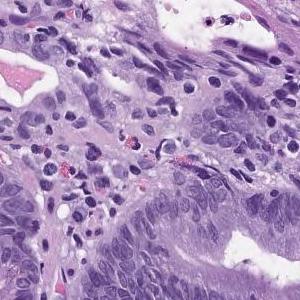
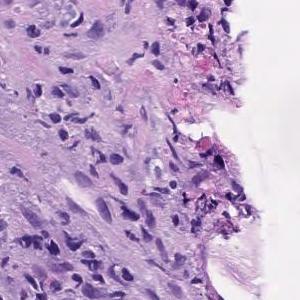
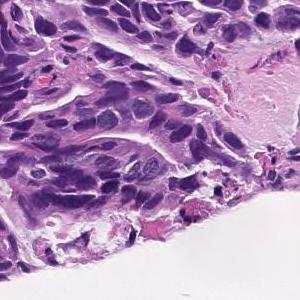
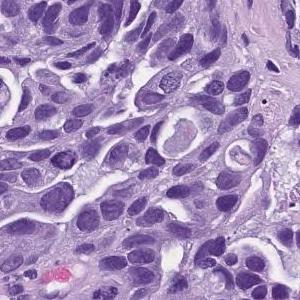
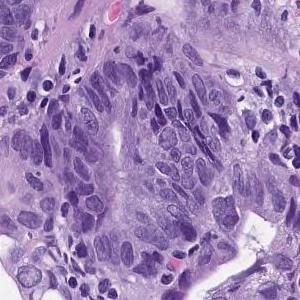
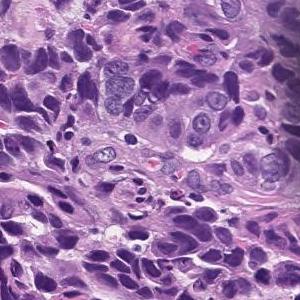
H&E stain; 6 image tiles from a single gastric biopsy slide.
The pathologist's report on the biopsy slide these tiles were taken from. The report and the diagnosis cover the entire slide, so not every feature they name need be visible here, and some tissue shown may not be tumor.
In the superficial epithelium, tumor tissue that invades by forming medium-sized to small, irregular ducts is observed. moderately differentiated tubular adenocarcinoma.
